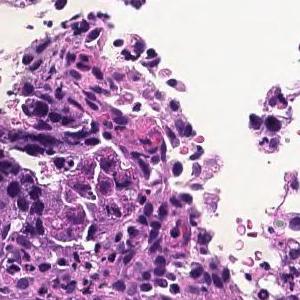
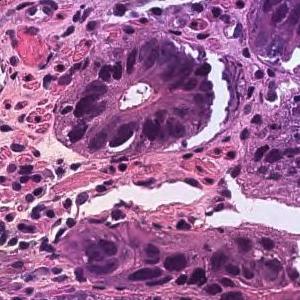
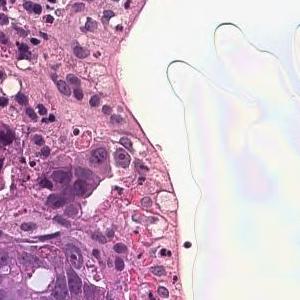
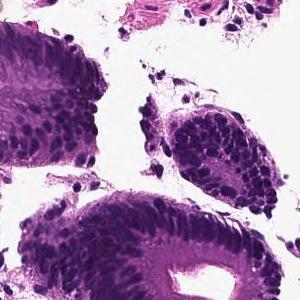
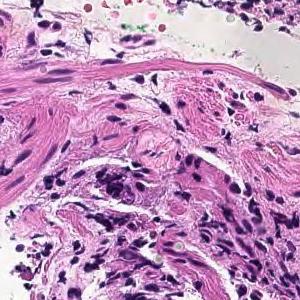
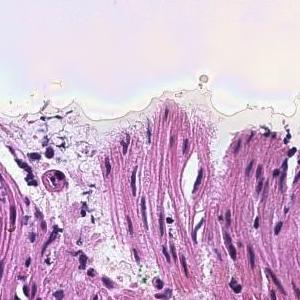
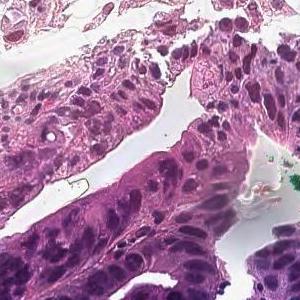
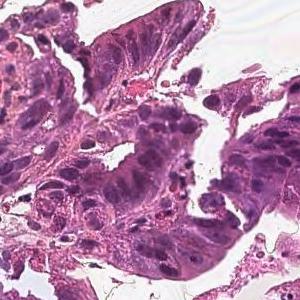
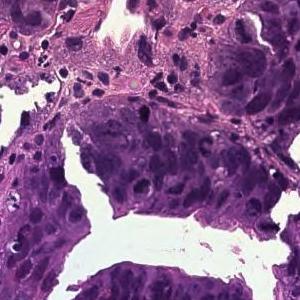
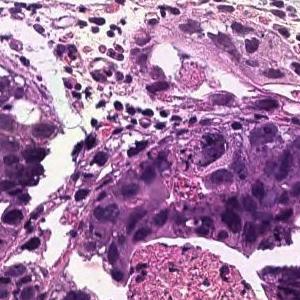
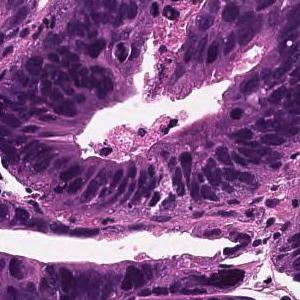
11 tiles cut from one stomach biopsy slide; each 300 × 300 pixels; 20× magnification; H&E.
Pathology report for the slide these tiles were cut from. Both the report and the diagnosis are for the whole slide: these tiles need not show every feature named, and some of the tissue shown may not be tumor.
In the superficial epithelium, tumor tissue that invades by forming medium-sized to small, irregular ducts is observed. moderately differentiated tubular adenocarcinoma.
